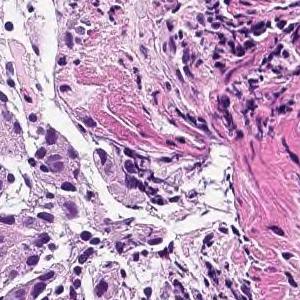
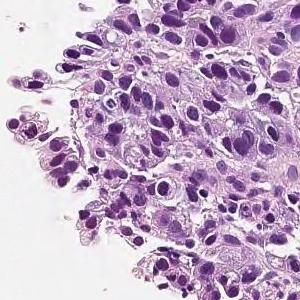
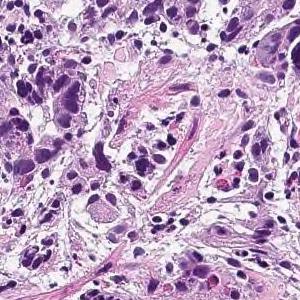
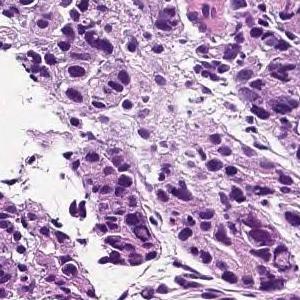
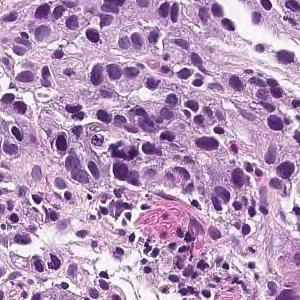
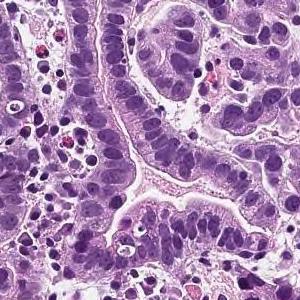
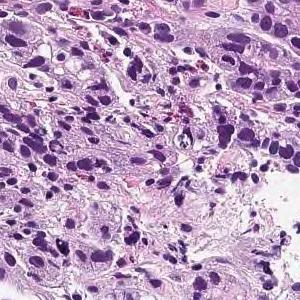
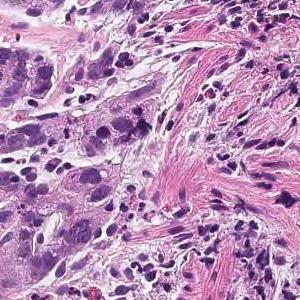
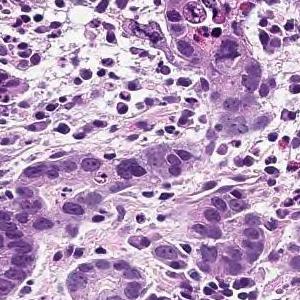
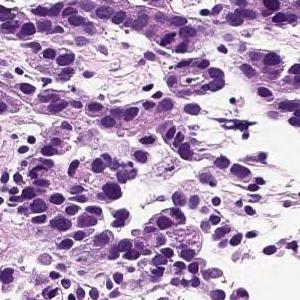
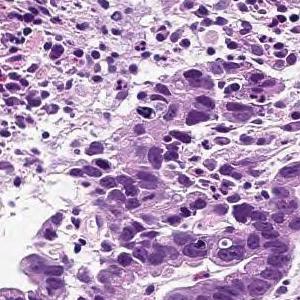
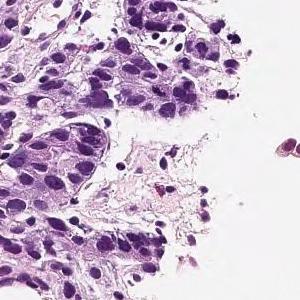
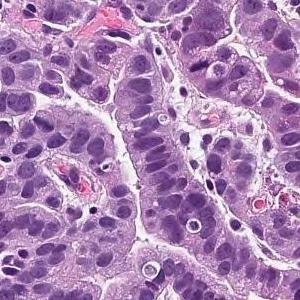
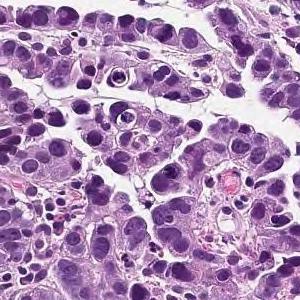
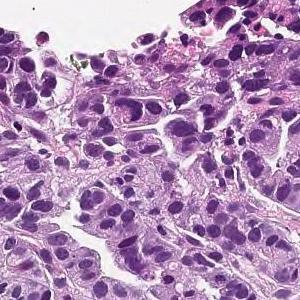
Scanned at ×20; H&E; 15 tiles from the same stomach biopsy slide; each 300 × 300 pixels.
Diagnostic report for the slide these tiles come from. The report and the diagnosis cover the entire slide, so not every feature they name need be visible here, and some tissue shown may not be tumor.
Tumor tissue consisting of medium-sized, cord-like or irregular glandular infiltration is observed in the superficial epithelium. Poorly differentiated adenocarcinoma, non-solid type or moderately differentiated tubular adenocarcinoma
Classified as moderately to poorly differentiated adenocarcinoma.
The term "non-solid type" comes from the Japanese Classification of Gastric Carcinoma.
